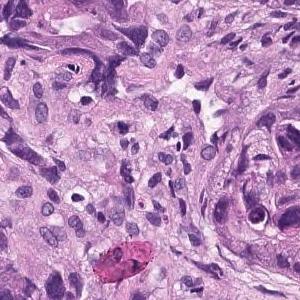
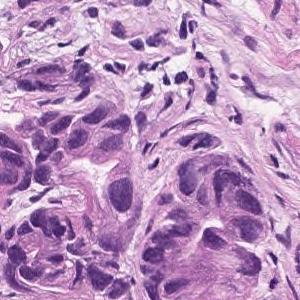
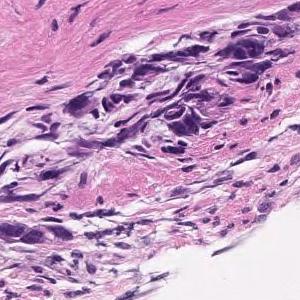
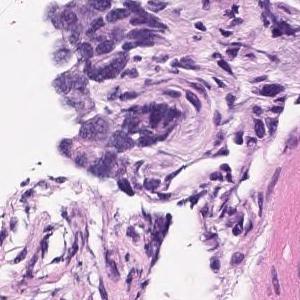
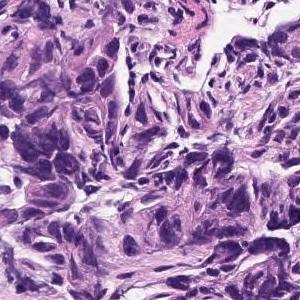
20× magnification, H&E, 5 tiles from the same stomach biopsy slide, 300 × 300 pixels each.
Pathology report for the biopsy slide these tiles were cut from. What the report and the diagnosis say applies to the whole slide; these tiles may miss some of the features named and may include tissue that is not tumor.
Atypical l cells with atypical nuclei under the mucosa growing in isolation and scattered. Moderately to poorly differentiated adenocarcinoma (moderately differentiated tubular adenocarcinoma poorly differentiated adenocarcinoma, solid type)
Histologic type: Moderately to poorly differentiated adenocarcinoma.
The term "solid type" comes from the Japanese Classification of Gastric Carcinoma; the WHO 2019 equivalent is tubular adenocarcinoma, poorly differentiated.
